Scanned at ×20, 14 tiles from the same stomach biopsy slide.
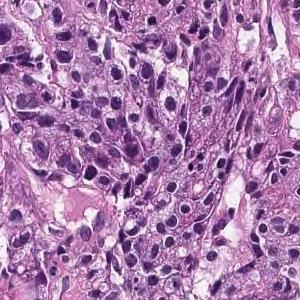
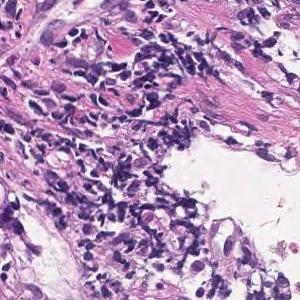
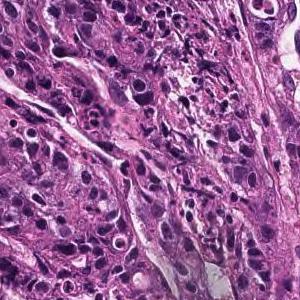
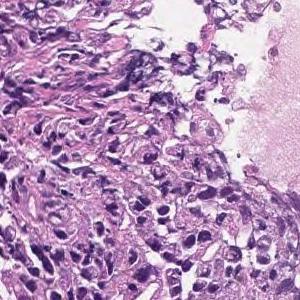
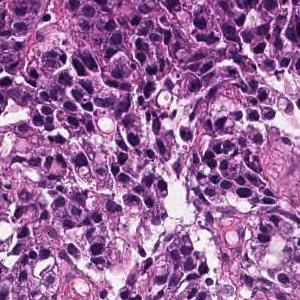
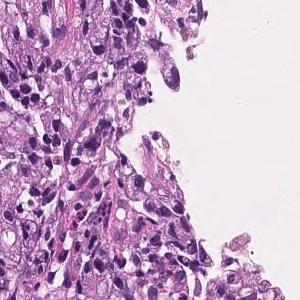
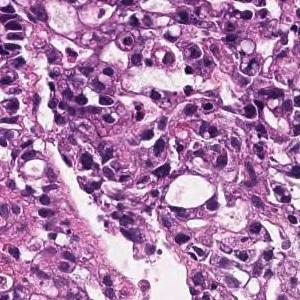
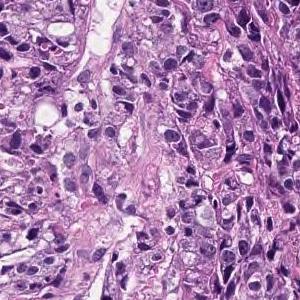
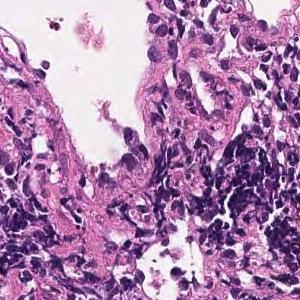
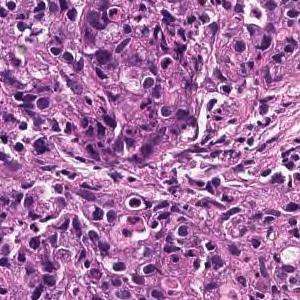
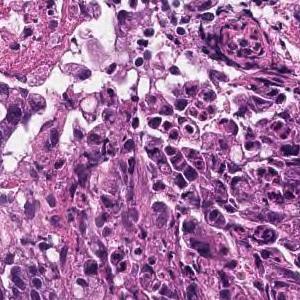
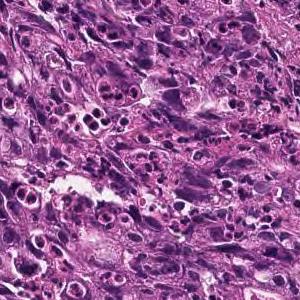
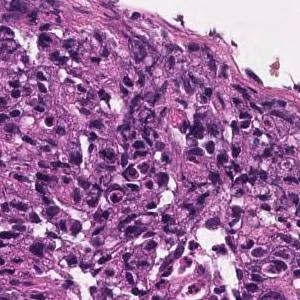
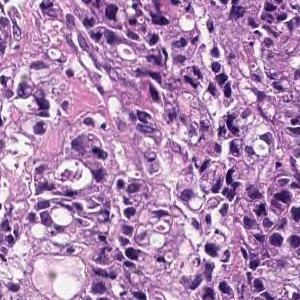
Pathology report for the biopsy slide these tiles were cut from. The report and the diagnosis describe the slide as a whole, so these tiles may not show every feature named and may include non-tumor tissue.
Medium to small, irregular glandular ducts are formed in the superficial epithelium, and in some cases, the glandular ducts are fused to show solid alveolar lesions and infiltrating tumor tissue is observed. Moderately to poorly differentiated adenocarcinoma.
